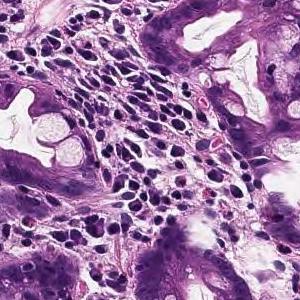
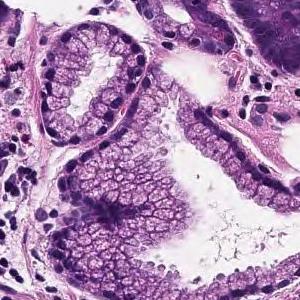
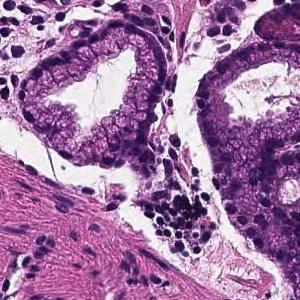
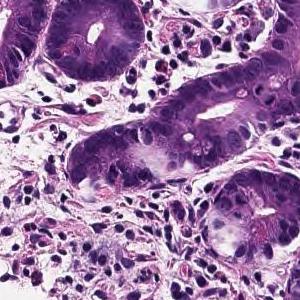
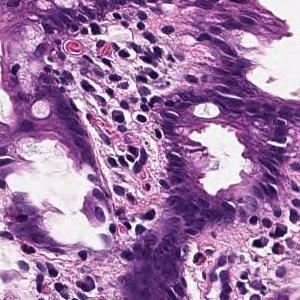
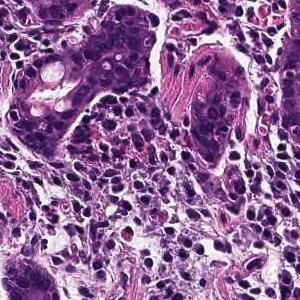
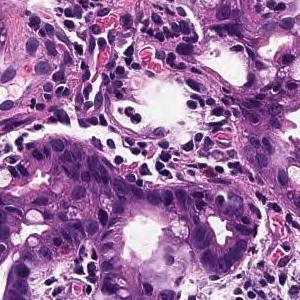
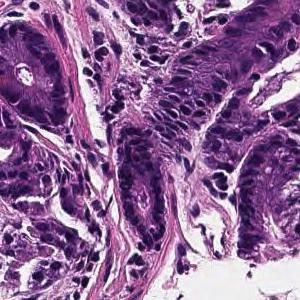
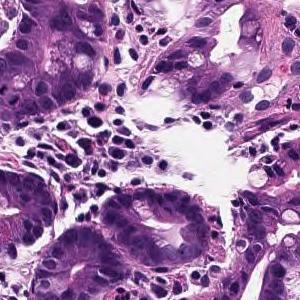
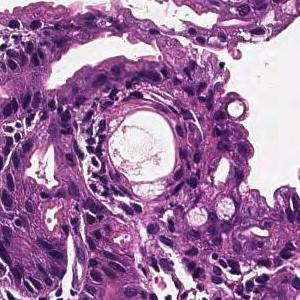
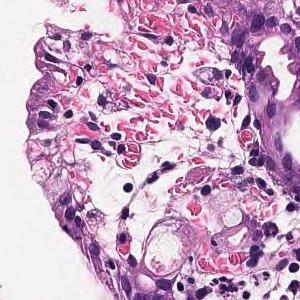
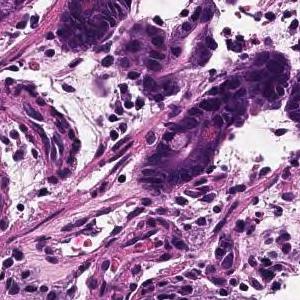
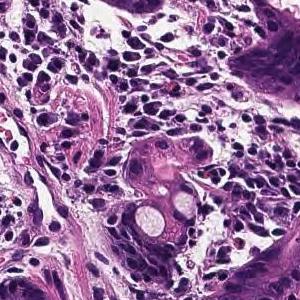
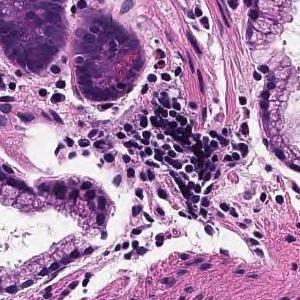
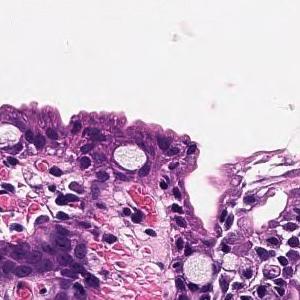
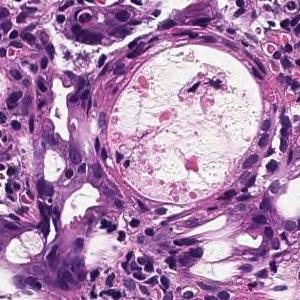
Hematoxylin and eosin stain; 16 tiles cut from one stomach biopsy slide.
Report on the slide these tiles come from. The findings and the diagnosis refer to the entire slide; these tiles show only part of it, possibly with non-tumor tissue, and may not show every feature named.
In the superficial epithelium, tumor tissue that invades by forming medium-sized to small, irregular ducts is observed. moderately differentiated tubular adenocarcinoma.
